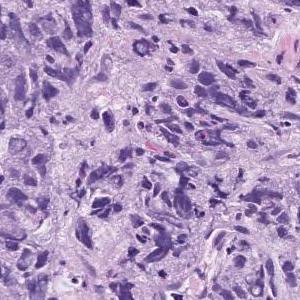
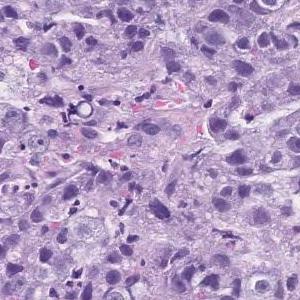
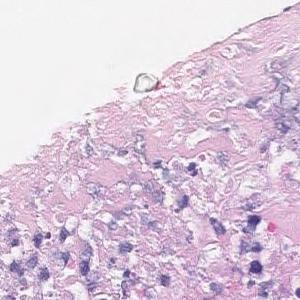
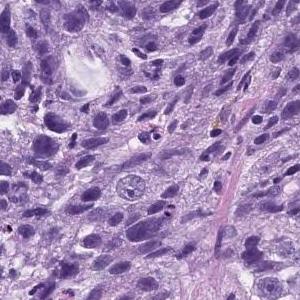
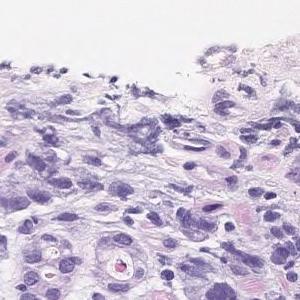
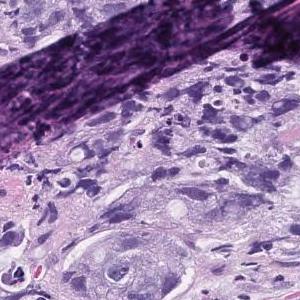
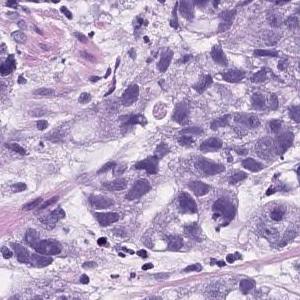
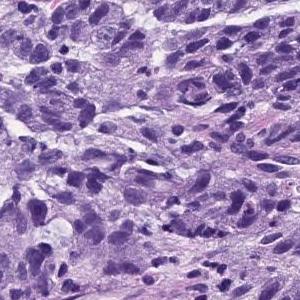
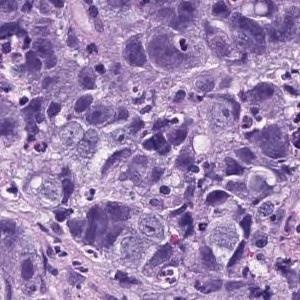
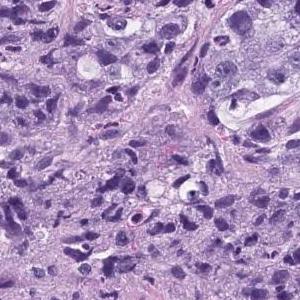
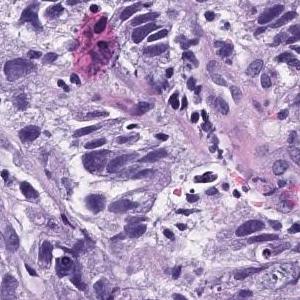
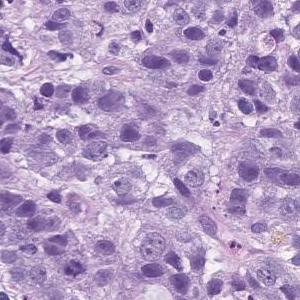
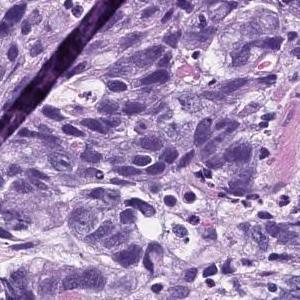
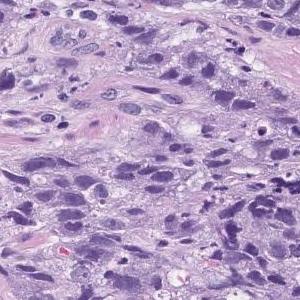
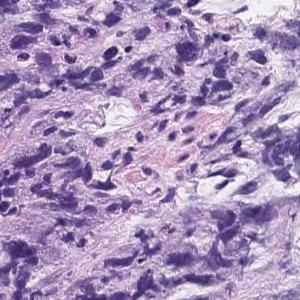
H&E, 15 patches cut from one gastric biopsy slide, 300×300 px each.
The pathologist's report on the biopsy slide these tiles were taken from. The report describes the whole slide, diagnosis included: not every finding it names need appear in these tiles, which may also show non-tumor tissue.
Atypical l cells with atypical nuclei forming solid vesicles or small irregular atypical ducts that proliferate in a complex manner. poorly differentiated adenocarcinoma, solid type, moderately differentiated tubular adenocarcinoma
The term "solid type" comes from the Japanese Classification of Gastric Carcinoma; the WHO 2019 equivalent is tubular adenocarcinoma, poorly differentiated.
